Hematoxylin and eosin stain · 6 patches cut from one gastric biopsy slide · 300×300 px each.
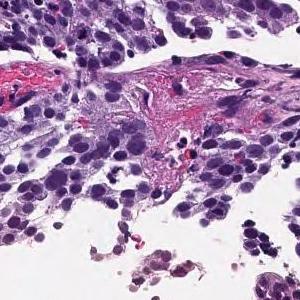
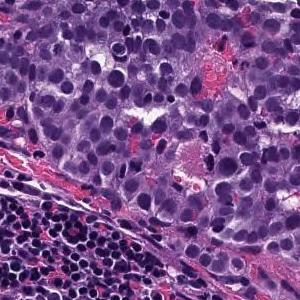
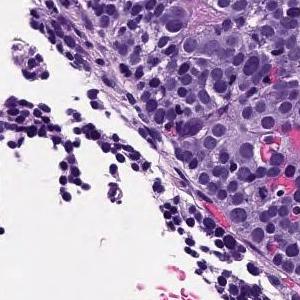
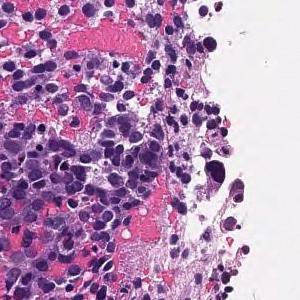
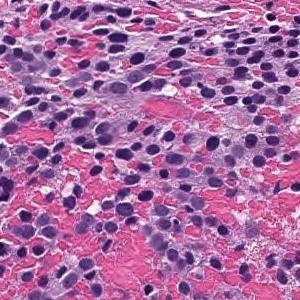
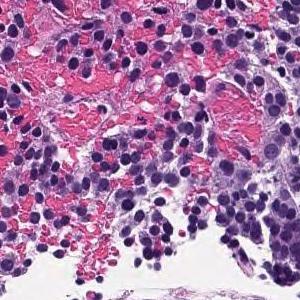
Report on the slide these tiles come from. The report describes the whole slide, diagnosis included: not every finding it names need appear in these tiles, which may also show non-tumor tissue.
The superficial epithelium shows a large sheet-like shape, and some tumor tissue infiltrates with small irregular ducts. Poorly differentiated adenocarcinoma, solid-type
Histologic type: Poorly differentiated adenocarcinoma, solid type. This name comes from the Japanese Classification of Gastric Carcinoma; the WHO 2019 classification calls it tubular adenocarcinoma, poorly differentiated.
